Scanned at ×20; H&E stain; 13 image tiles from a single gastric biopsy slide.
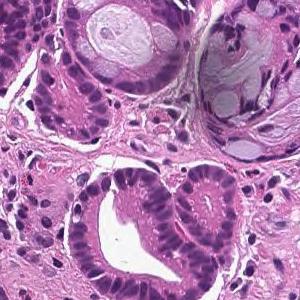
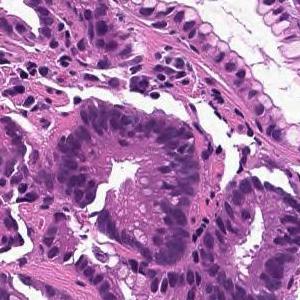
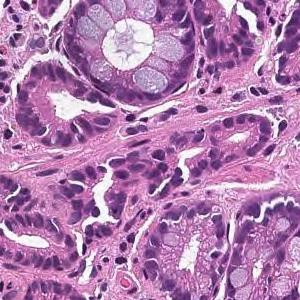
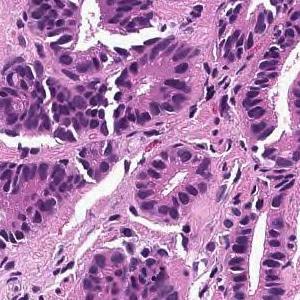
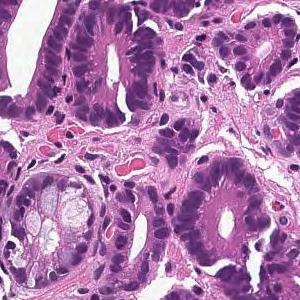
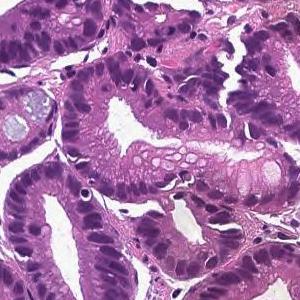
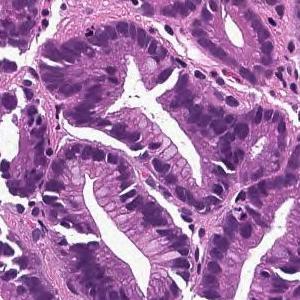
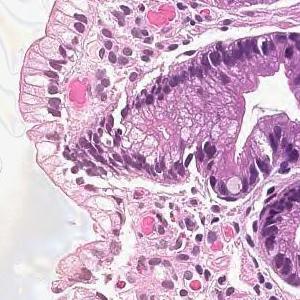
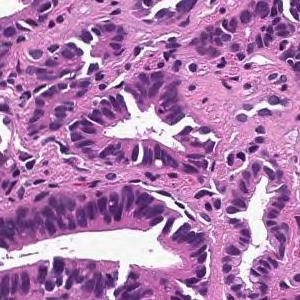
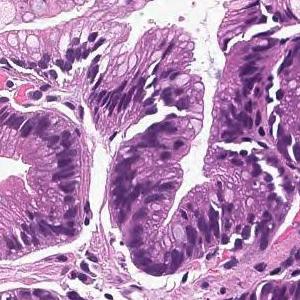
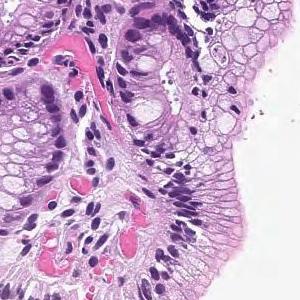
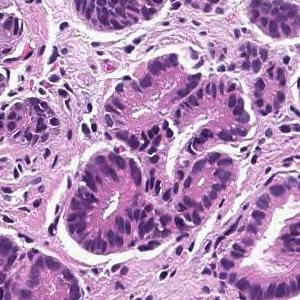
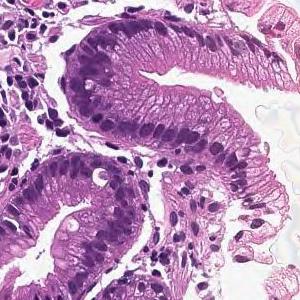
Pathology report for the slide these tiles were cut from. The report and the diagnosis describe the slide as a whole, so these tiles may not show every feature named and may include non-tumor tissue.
From the superficial epithelium to the muscularis mucosae, tumor tissue consisting of medium-sized and irregular glandular ducts infiltrating is observed. Well differentiated tubular adenocarcinoma
